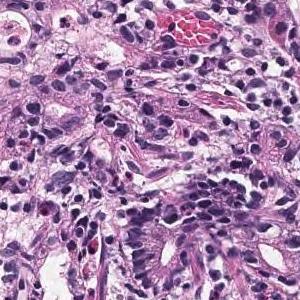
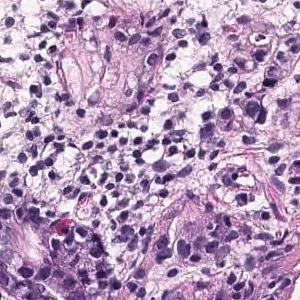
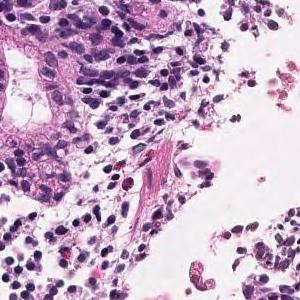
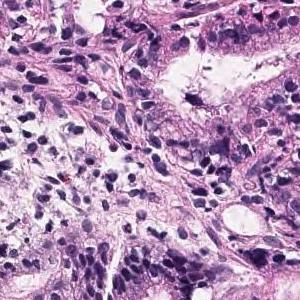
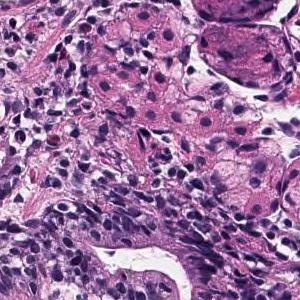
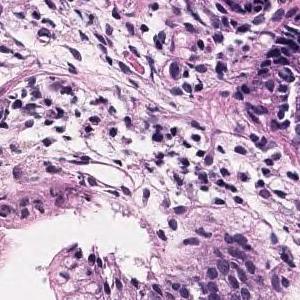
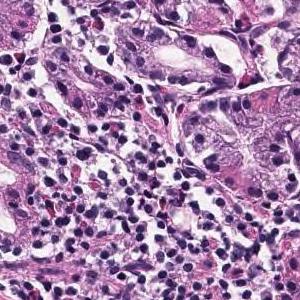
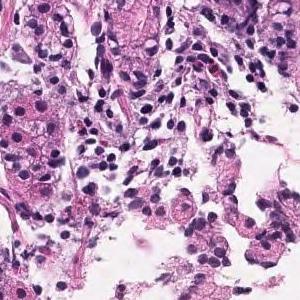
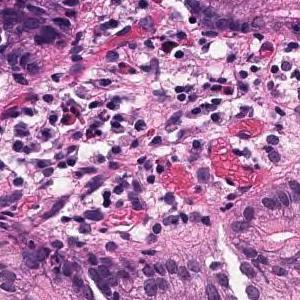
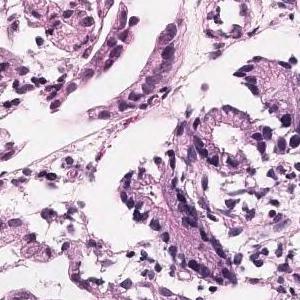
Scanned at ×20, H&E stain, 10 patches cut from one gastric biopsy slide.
Pathology report for the biopsy slide these tiles were cut from. The report and the diagnosis describe the slide as a whole, so these tiles may not show every feature named and may include non-tumor tissue.
Tumor tissue that grows and grows is observed, showing a medium-sized round or irregular duct. moderately differentiated tubular adenocarcinoma
